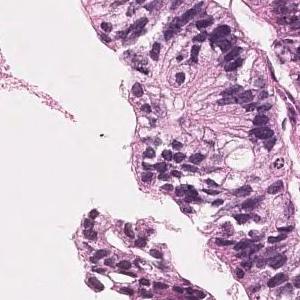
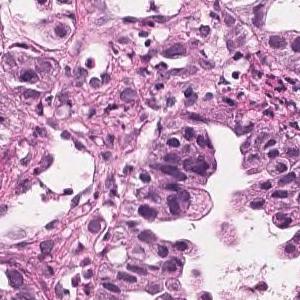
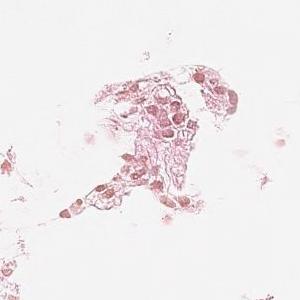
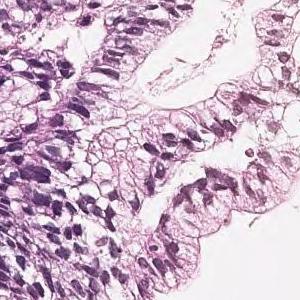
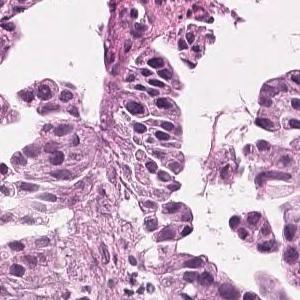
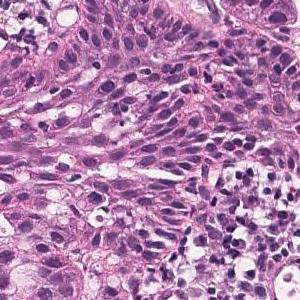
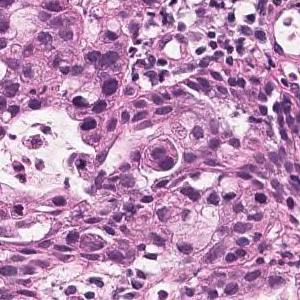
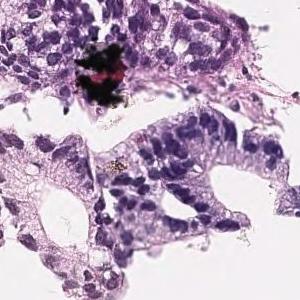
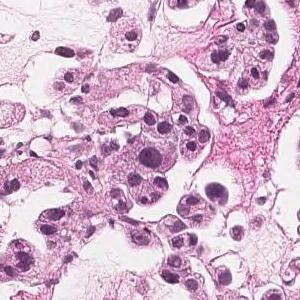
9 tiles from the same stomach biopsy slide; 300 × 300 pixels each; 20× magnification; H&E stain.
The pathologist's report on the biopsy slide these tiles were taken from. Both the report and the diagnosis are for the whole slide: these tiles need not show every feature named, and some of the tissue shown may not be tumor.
Tumor cells are large, highly columnar, large club-shaped nuclei, and are associated with chromatin aggregation. Papillary adenocarcinoma.
